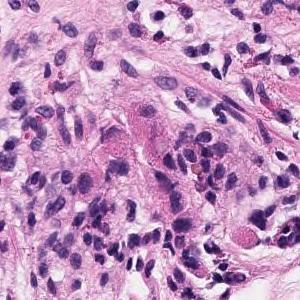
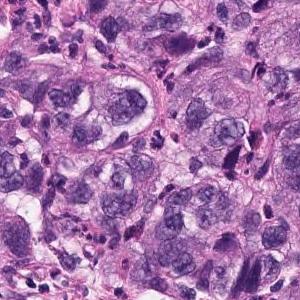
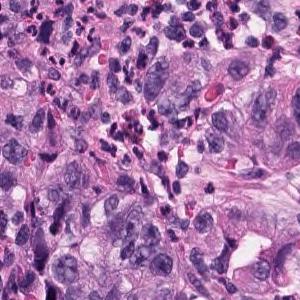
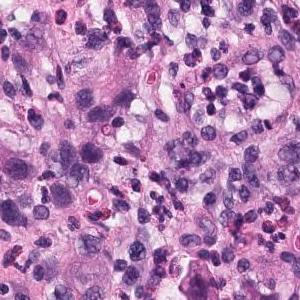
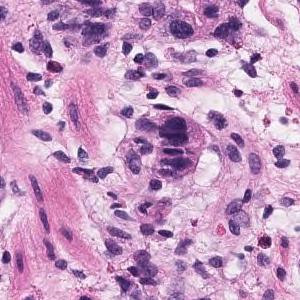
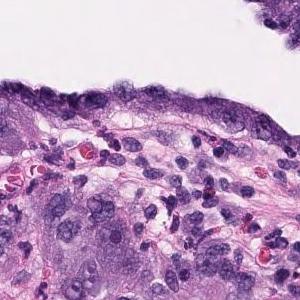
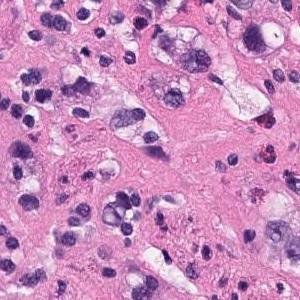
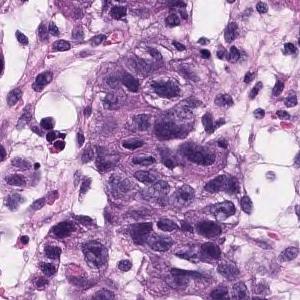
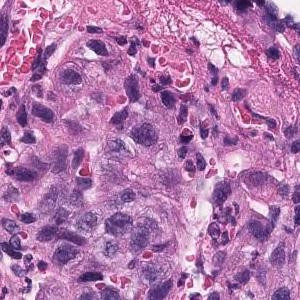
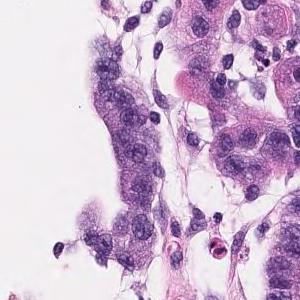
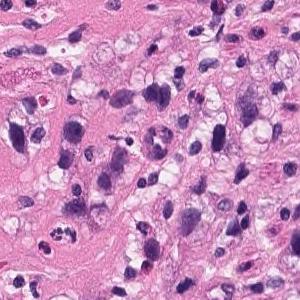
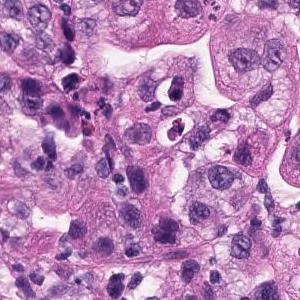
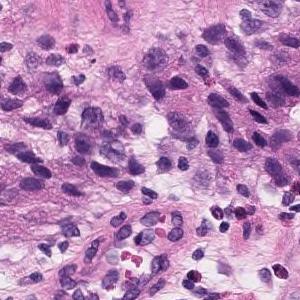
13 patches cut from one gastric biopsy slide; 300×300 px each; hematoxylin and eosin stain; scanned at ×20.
Report on the slide these tiles come from. Both the report and the diagnosis are for the whole slide: these tiles need not show every feature named, and some of the tissue shown may not be tumor.
Atypical l cells with atypical nuclei forming diffuse or small irregular atypical ducts and growing. Moderately to poorly differentiated adenocarcinoma (poorly differentiated adenocarcinoma, solid type, moderately differentiated tubular adenocarcinoma)
Tumor subtype: moderately to poorly differentiated adenocarcinoma.
The solid type named here is a Japanese Classification of Gastric Carcinoma category; WHO 2019 calls it tubular adenocarcinoma, poorly differentiated.
